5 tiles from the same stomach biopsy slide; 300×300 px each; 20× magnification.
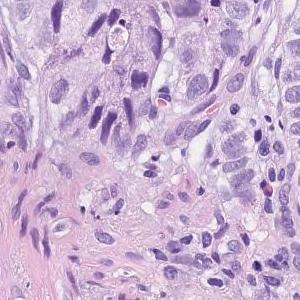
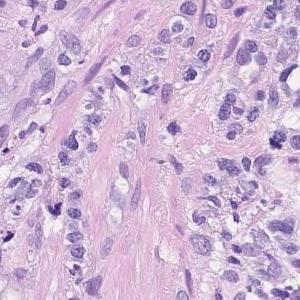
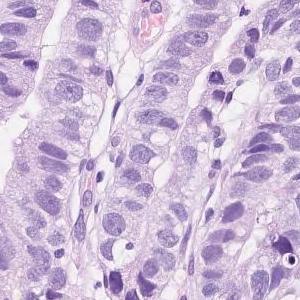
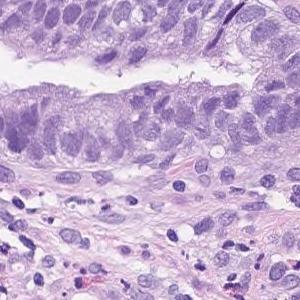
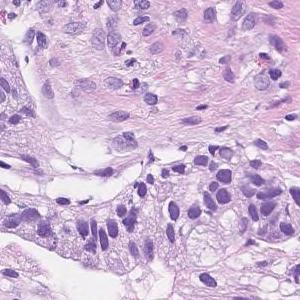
Diagnostic report for the slide these tiles come from. The report describes the whole slide, diagnosis included: not every finding it names need appear in these tiles, which may also show non-tumor tissue.
Atypical l cells with atypical nuclei forming solid or diffuse vesicles or small irregular atypical ducts and growing in a complex manner. moderately differentiated tubular adenocarcinoma
